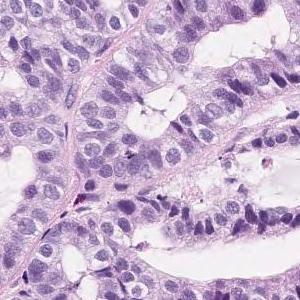
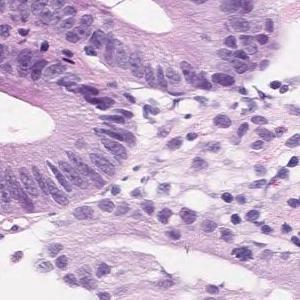
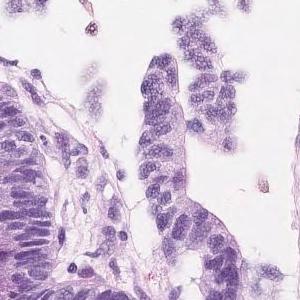
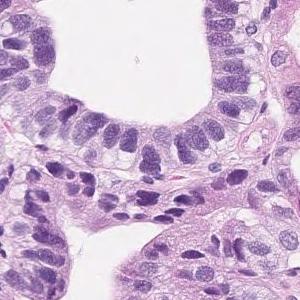
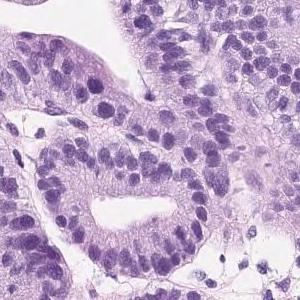
5 tiles cut from one stomach biopsy slide.
Pathology report for the biopsy slide these tiles were cut from. The findings and the diagnosis refer to the entire slide; these tiles show only part of it, possibly with non-tumor tissue, and may not show every feature named.
Short atypical epithelium with swelling of the nucleus shows proliferating, large and small irregular ductal structures. Well to moderately differentiated tubular adenocarcinoma (well differentiated tubular adenocarcinoma-moderately differentiated tubular adenocarcinoma)
Subtype: Well to moderately differentiated tubular adenocarcinoma.
